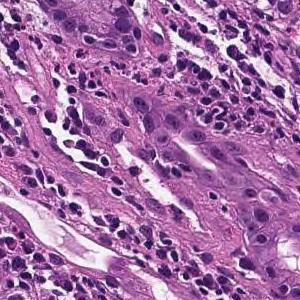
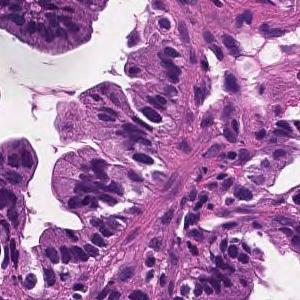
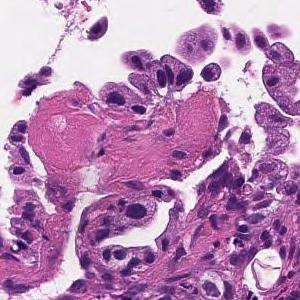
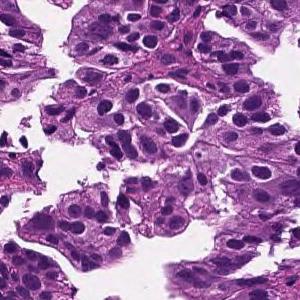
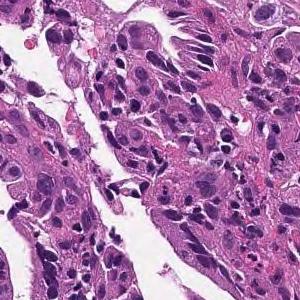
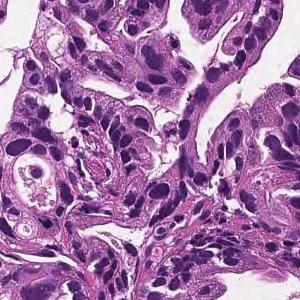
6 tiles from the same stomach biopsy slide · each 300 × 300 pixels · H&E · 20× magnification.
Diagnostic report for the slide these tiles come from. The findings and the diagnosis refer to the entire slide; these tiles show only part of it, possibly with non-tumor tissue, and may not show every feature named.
Medium to small, irregular glandular ducts are formed in the superficial epithelium, and in some cases, the glandular ducts are fused to show solid alveolar lesions and infiltrating tumor tissue is observed. Moderately to poorly differentiated adenocarcinoma.
